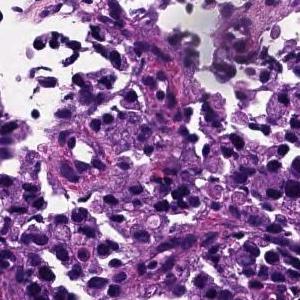
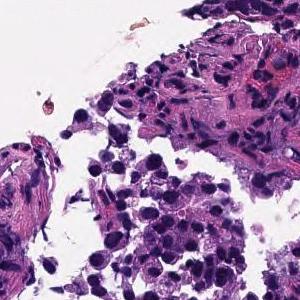
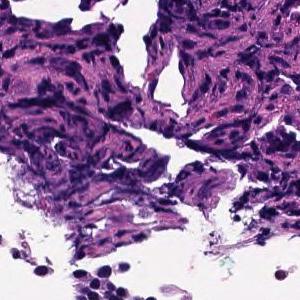
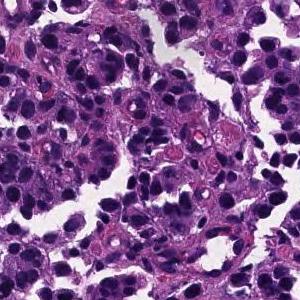
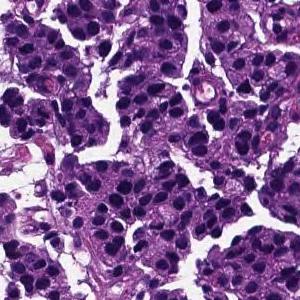
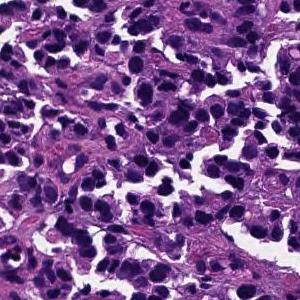
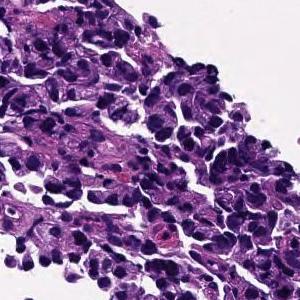
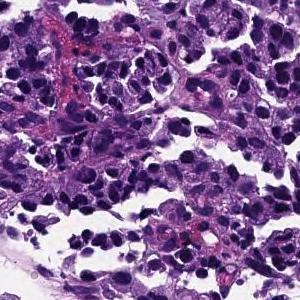
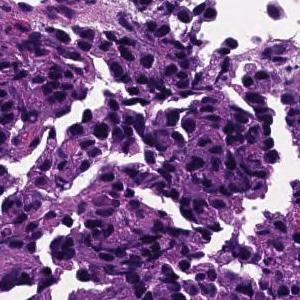
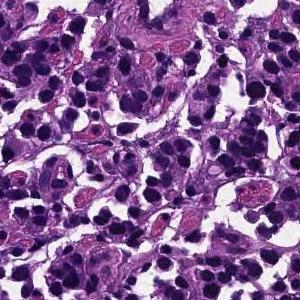
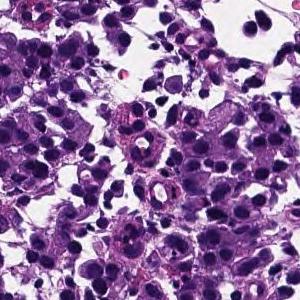
11 tiles cut from one stomach biopsy slide, 300 × 300 pixels each, ×20, H&E stain.
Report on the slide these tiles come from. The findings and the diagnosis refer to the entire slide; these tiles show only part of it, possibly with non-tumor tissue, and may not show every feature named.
The superficial epithelium shows a large alveolar shape and infiltrates tumor tissue. Poorly differentiated adenocarcinoma, solid-type
Subtype: Poorly differentiated adenocarcinoma, solid type, a category of the Japanese Classification of Gastric Carcinoma; in the WHO 2019 classification it is tubular adenocarcinoma, poorly differentiated.
